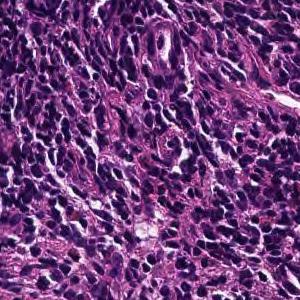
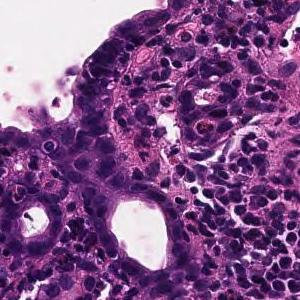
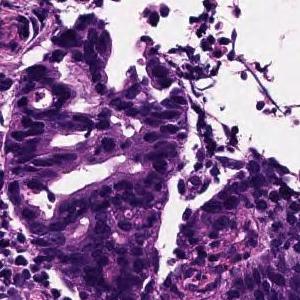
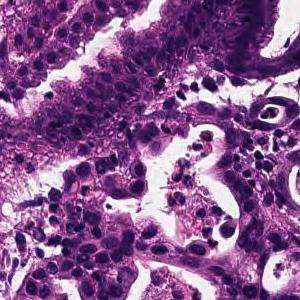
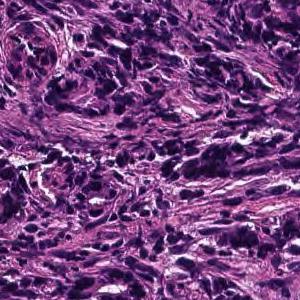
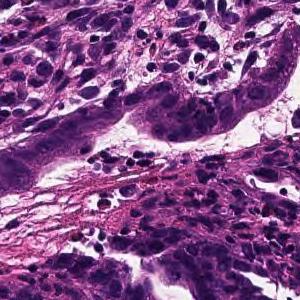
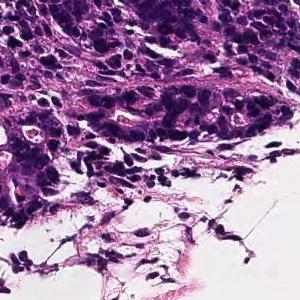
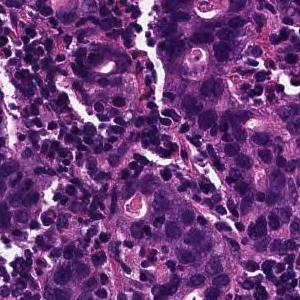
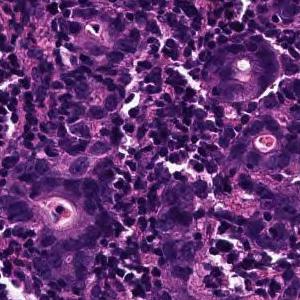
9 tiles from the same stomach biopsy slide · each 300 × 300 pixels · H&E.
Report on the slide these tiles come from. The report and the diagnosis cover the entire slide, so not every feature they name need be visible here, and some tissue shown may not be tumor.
On the superficial epithelium, tumor tissue is found in which medium-sized irregular gland ducts fuse with each other and infiltrate. moderately differentiated tubular adenocarcinoma or Poorly differentiated adenocarcinoma, non-solid type
Subtype: Moderately to poorly differentiated adenocarcinoma.
The term "non-solid type" comes from the Japanese Classification of Gastric Carcinoma.
